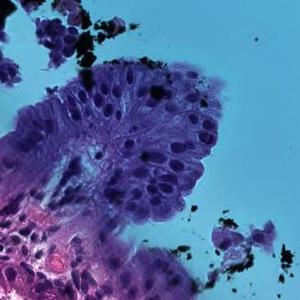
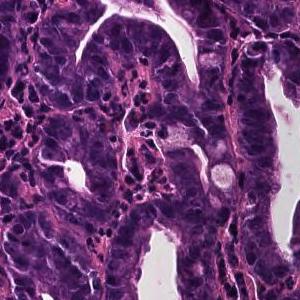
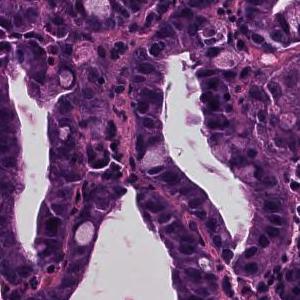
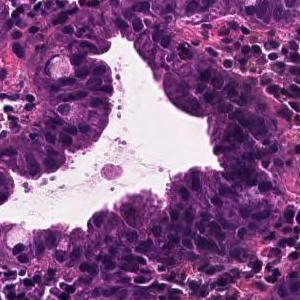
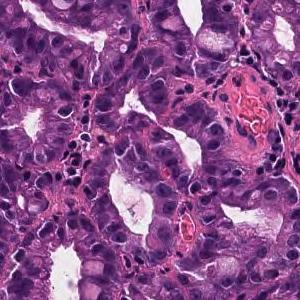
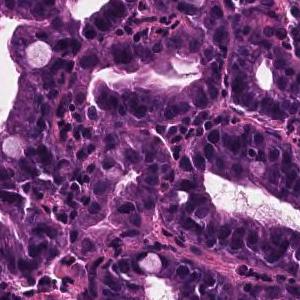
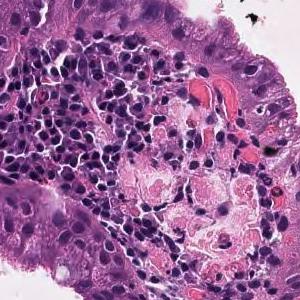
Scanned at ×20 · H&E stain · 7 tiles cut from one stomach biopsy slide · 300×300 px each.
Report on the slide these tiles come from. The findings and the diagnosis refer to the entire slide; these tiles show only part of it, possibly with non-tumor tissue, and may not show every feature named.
Atypical tubular proliferation of well to moderately differentiated gastric gland with hyperchromatic nuclei and high N:C ratio. Mitotic figures were also present. These histological findings were suggestive of well to moderately differentiated tubular adenocarcinoma (well differentiated tubular adenocarcinoma, moderately differentiated tubular adenocarcinoma).
Dataset label: well differentiated tubular adenocarcinoma.
